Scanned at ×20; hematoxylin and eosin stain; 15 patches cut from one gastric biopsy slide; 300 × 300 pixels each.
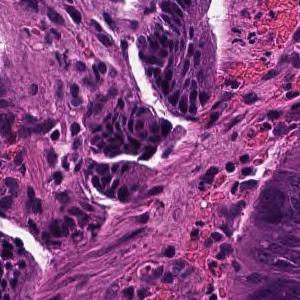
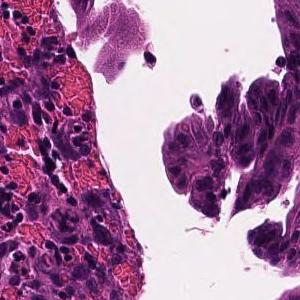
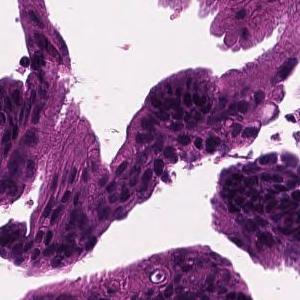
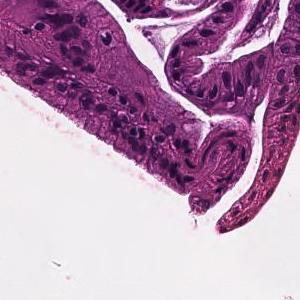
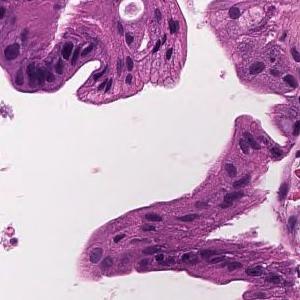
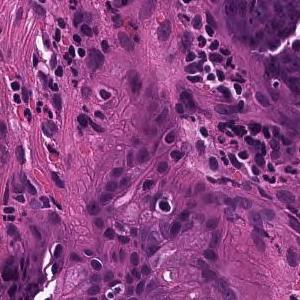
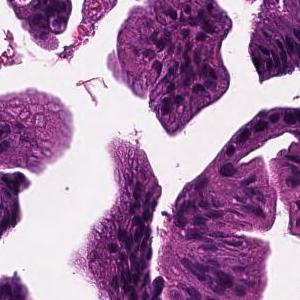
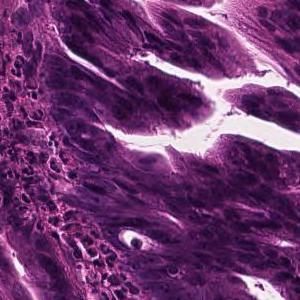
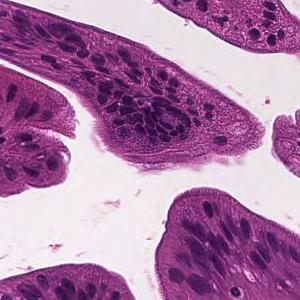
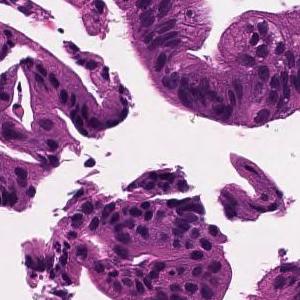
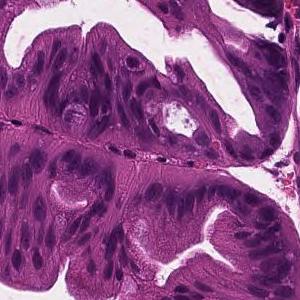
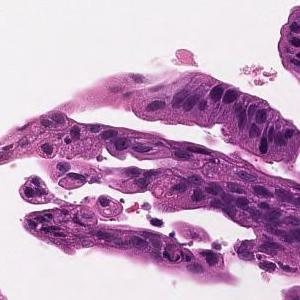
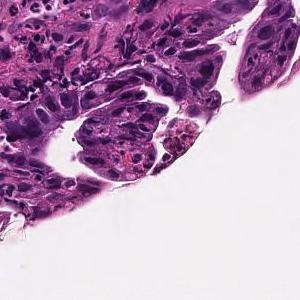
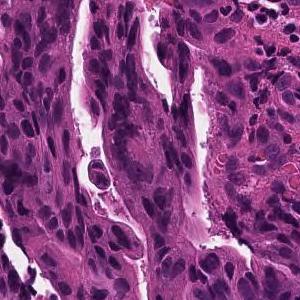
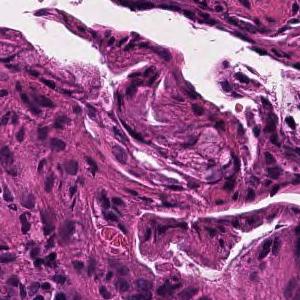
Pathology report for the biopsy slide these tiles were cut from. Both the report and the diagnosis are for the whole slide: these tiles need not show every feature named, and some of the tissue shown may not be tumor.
Tumor cells are large, highly columnar, large club-shaped nuclei, and are associated with chromatin aggregation. Papillary adenocarcinoma.
